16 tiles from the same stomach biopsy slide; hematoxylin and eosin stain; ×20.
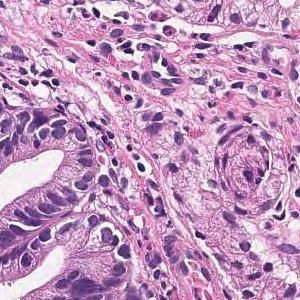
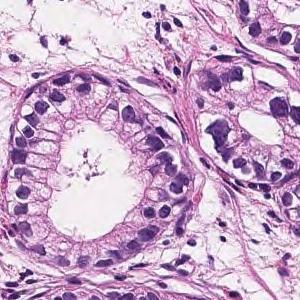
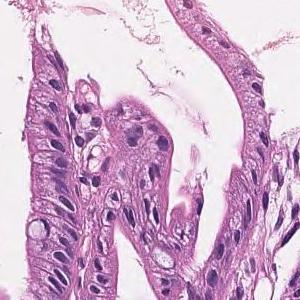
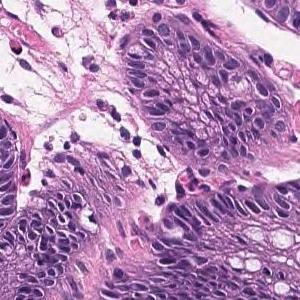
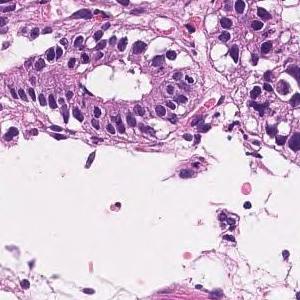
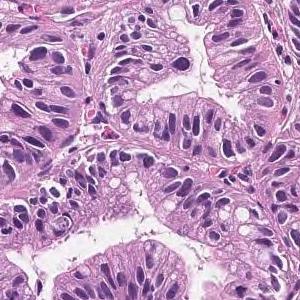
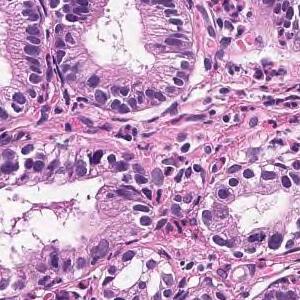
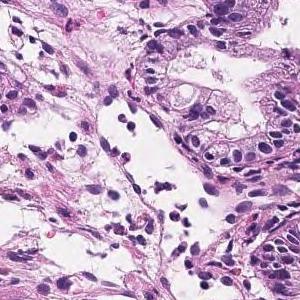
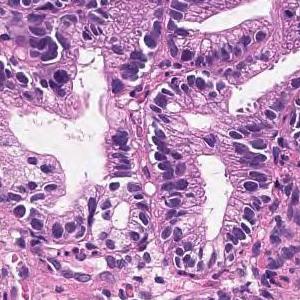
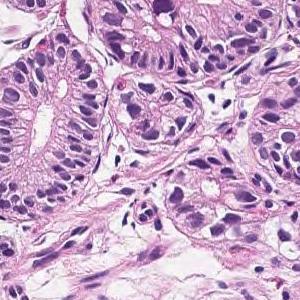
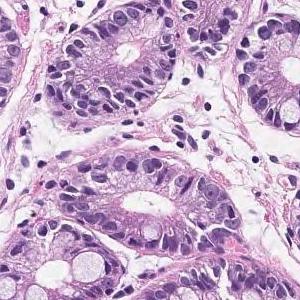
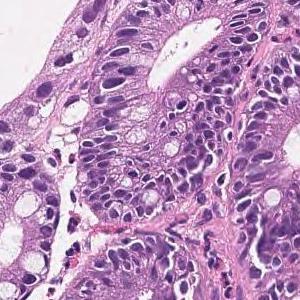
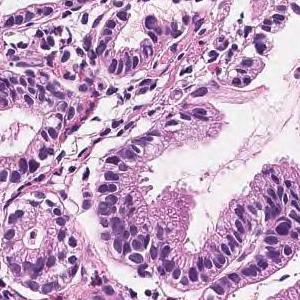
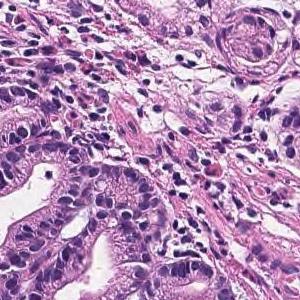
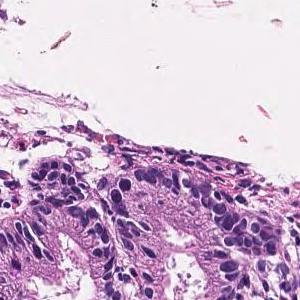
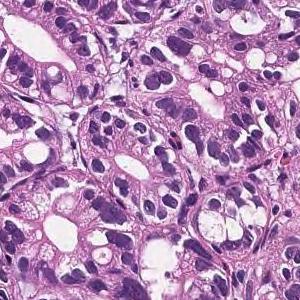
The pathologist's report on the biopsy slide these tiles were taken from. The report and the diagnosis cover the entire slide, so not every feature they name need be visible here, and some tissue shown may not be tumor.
In the superficial epithelium, tumor tissue that invades by forming medium-sized to small, irregular ducts is observed. Well differentiated tubular adenocarcinoma.
